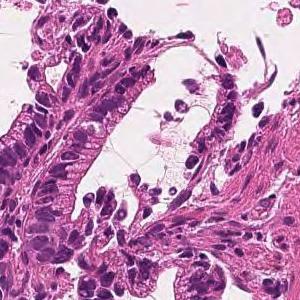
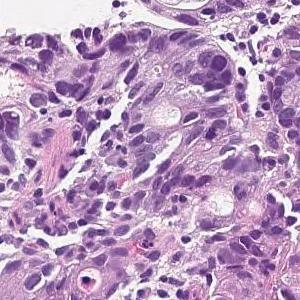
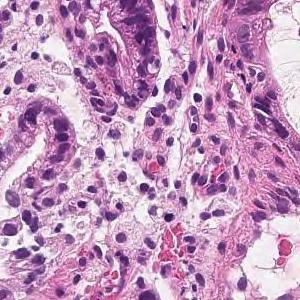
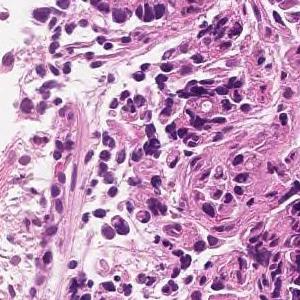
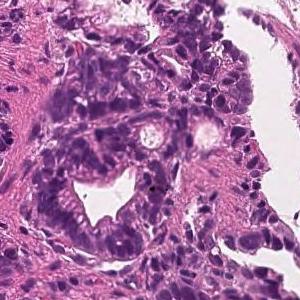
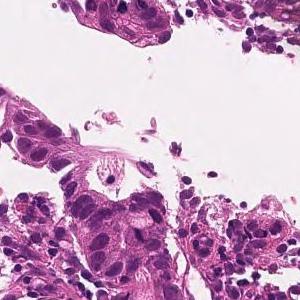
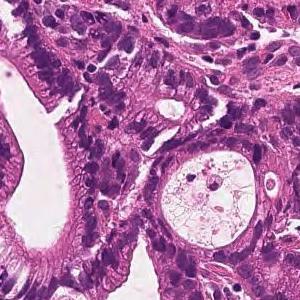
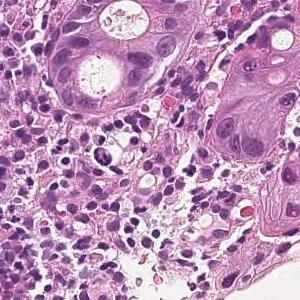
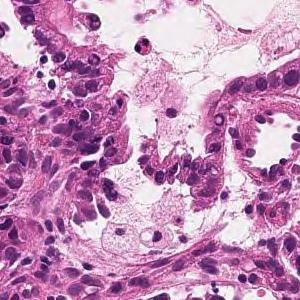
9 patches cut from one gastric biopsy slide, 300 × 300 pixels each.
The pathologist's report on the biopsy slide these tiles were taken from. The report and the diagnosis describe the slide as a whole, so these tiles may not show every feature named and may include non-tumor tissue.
On the superficial epithelium, tumor tissue is found in which medium-sized irregular gland ducts fuse with each other and infiltrate. moderately differentiated tubular adenocarcinoma
